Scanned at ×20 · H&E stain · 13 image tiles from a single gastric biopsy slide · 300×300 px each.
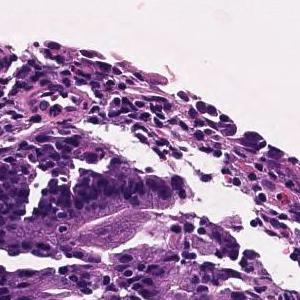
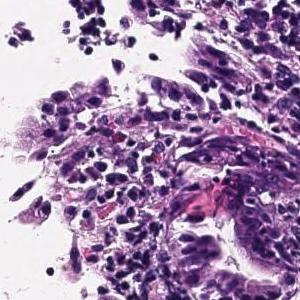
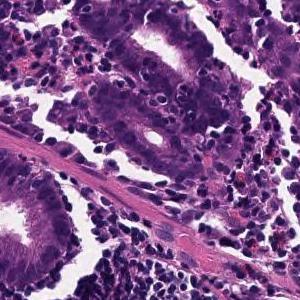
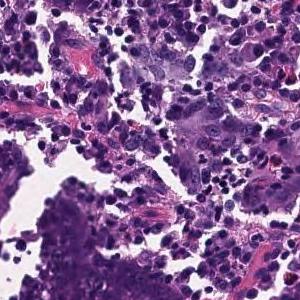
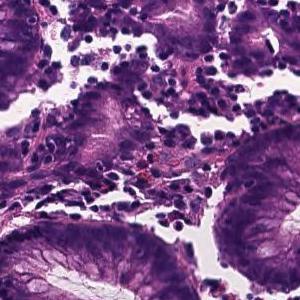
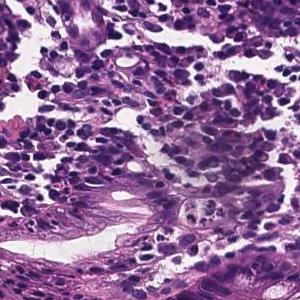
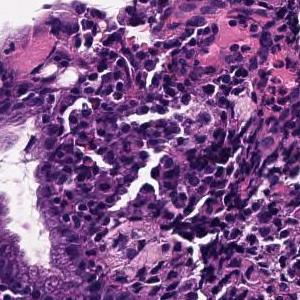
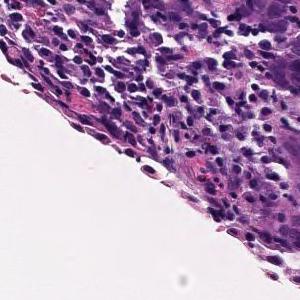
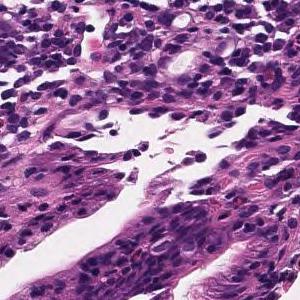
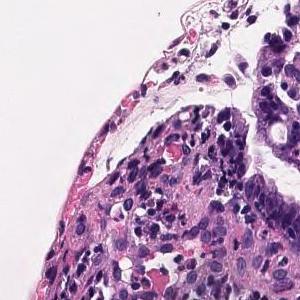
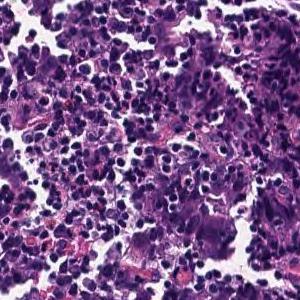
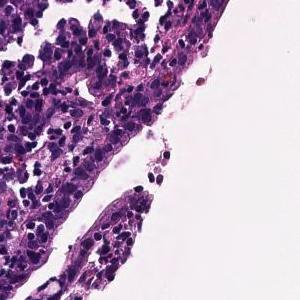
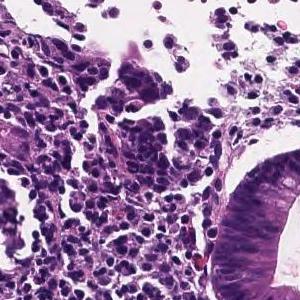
Pathology report for the biopsy slide these tiles were cut from. What the report and the diagnosis say applies to the whole slide; these tiles may miss some of the features named and may include tissue that is not tumor.
Tumor tissue consisting of medium-sized, cord-like or irregular glandular infiltration is observed in the superficial epithelium. Poorly differentiated adenocarcinoma, non-solid type or moderately differentiated tubular adenocarcinoma
Histologic type: Moderately to poorly differentiated adenocarcinoma.
The term "non-solid type" comes from the Japanese Classification of Gastric Carcinoma.
